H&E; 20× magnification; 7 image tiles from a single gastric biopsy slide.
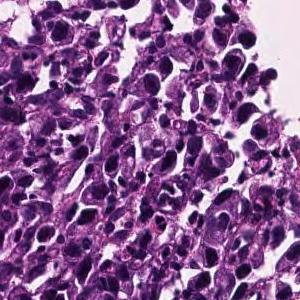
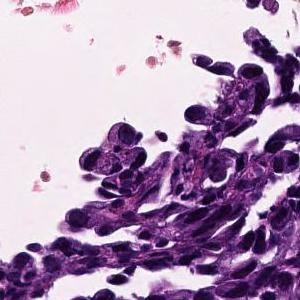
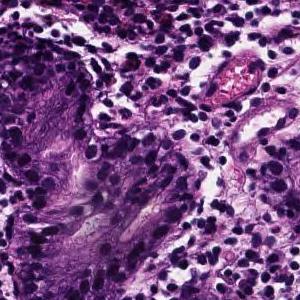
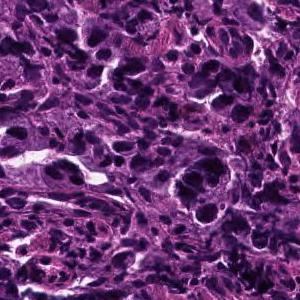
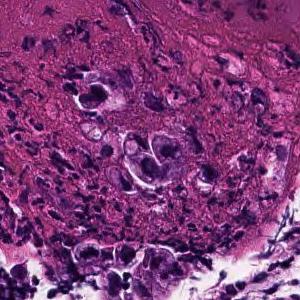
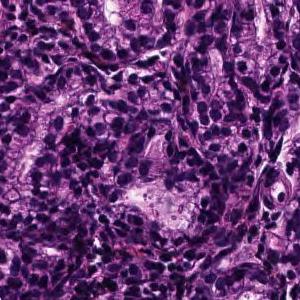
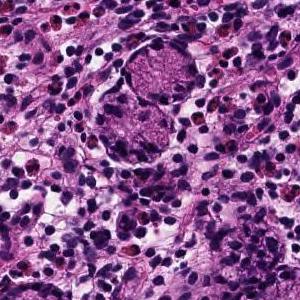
Report on the slide these tiles come from. The report describes the whole slide, diagnosis included: not every finding it names need appear in these tiles, which may also show non-tumor tissue.
The superficial epithelium shows a large sheet-like shape, and some tumor tissues infiltrate with a small cord-like structure. Poorly differentiated adenocarcinoma, solid type (poorly differentiated adenocarcinoma, solid type)
Subtype: Poorly differentiated adenocarcinoma, solid type (Japanese Classification of Gastric Carcinoma). The WHO 2019 equivalent is tubular adenocarcinoma, poorly differentiated.
